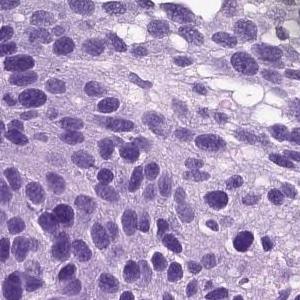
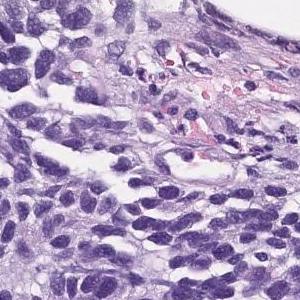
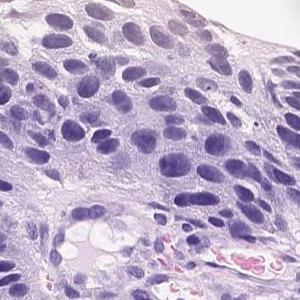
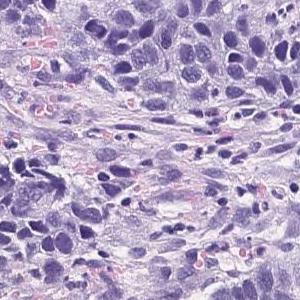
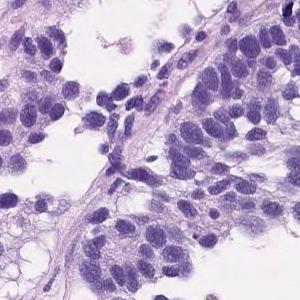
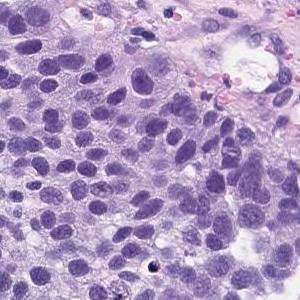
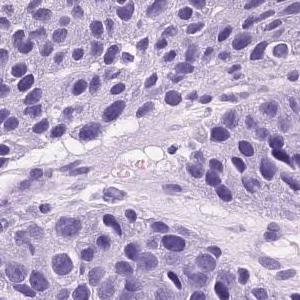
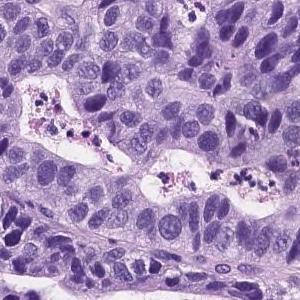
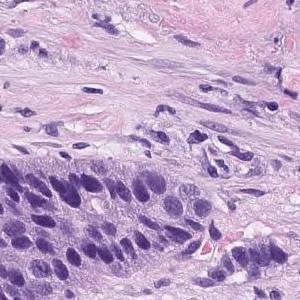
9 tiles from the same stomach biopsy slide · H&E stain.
Pathology report for the slide these tiles were cut from. The report describes the whole slide, diagnosis included: not every finding it names need appear in these tiles, which may also show non-tumor tissue.
Atypical cells with atypical nuclei forming small irregular atypical ducts and growing in a conformative manner. moderately differentiated tubular adenocarcinoma
The dataset labels this slide moderately to poorly differentiated adenocarcinoma.
